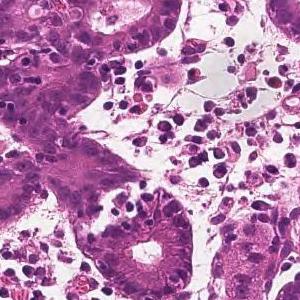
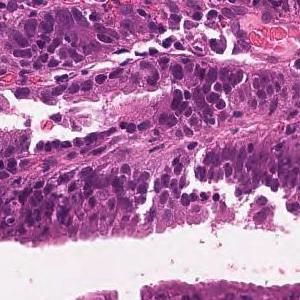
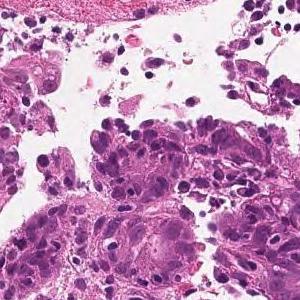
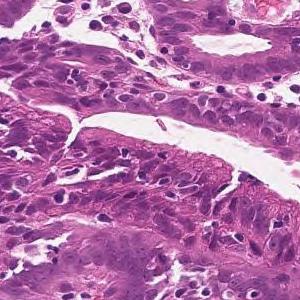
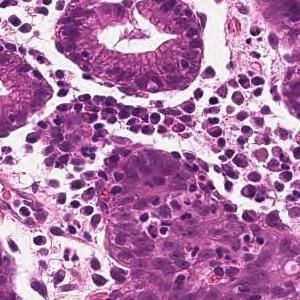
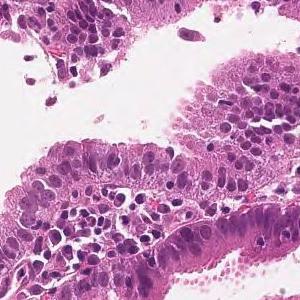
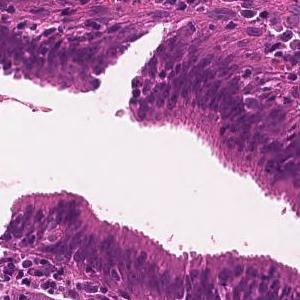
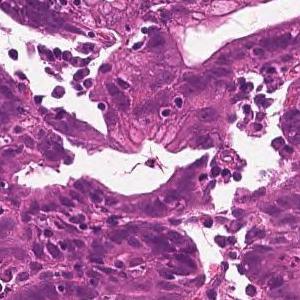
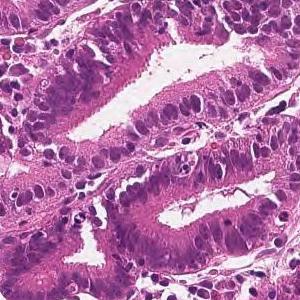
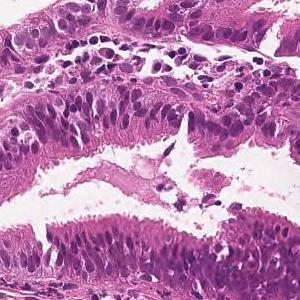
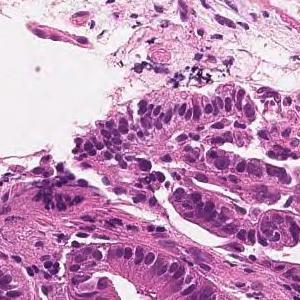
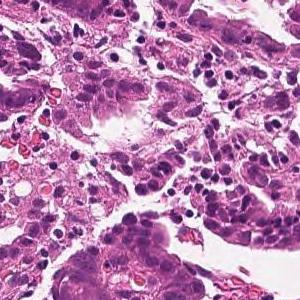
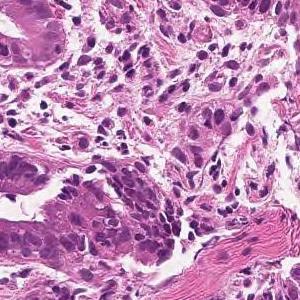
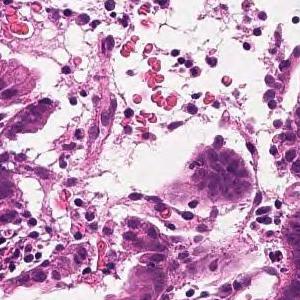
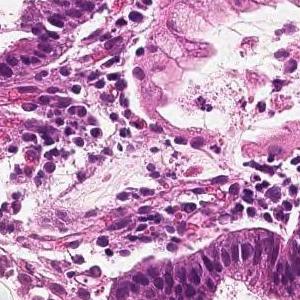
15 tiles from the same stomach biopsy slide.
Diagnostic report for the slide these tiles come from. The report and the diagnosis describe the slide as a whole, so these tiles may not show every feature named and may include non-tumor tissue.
On the superficial epithelium, tumor tissue is found in which medium-sized irregular gland ducts fuse with each other and infiltrate. moderately differentiated tubular adenocarcinoma
